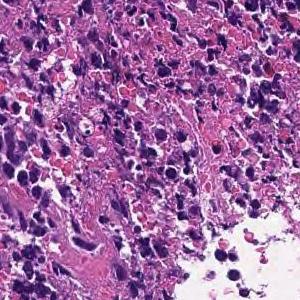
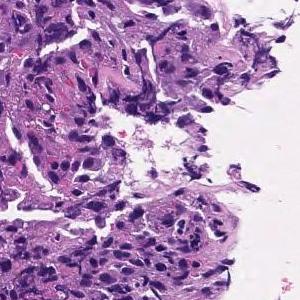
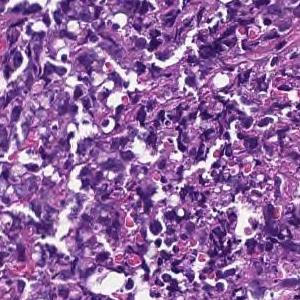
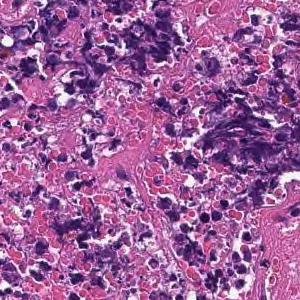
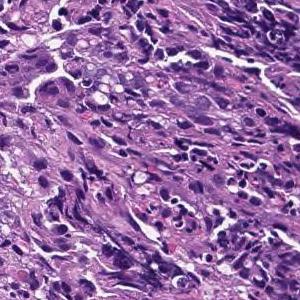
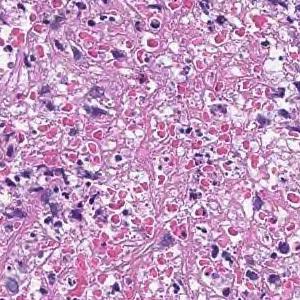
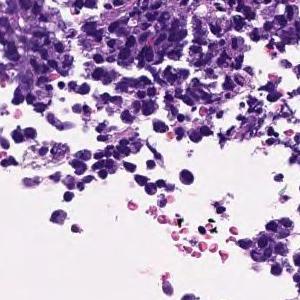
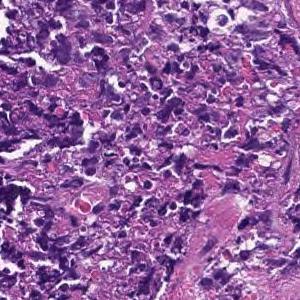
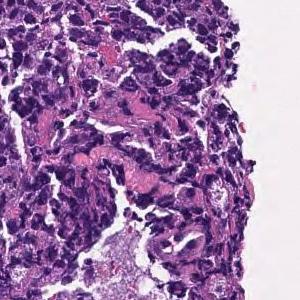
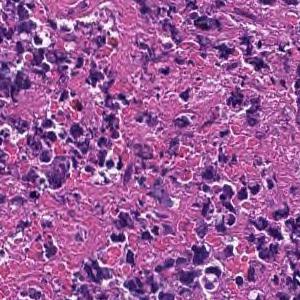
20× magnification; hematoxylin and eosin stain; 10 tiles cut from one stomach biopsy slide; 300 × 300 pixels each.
The pathologist's report on the biopsy slide these tiles were taken from. Both the report and the diagnosis are for the whole slide: these tiles need not show every feature named, and some of the tissue shown may not be tumor.
Most are composed of coagulative necrotic tissue, but some show a large sheet-like shape, and some show tumor tissue infiltrating with a small cord-like structure. Poorly differentiated adenocarcinoma, solid-type
Tumor subtype: poorly differentiated adenocarcinoma, solid type, a category of the Japanese Classification of Gastric Carcinoma; in the WHO 2019 classification it is tubular adenocarcinoma, poorly differentiated.
